20× magnification · 12 tiles from the same stomach biopsy slide · 300 × 300 pixels each.
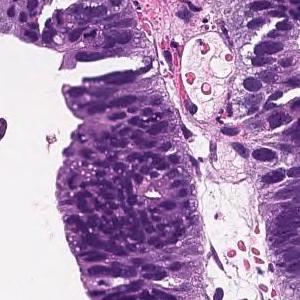
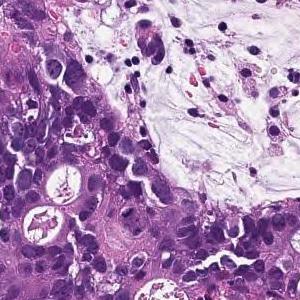
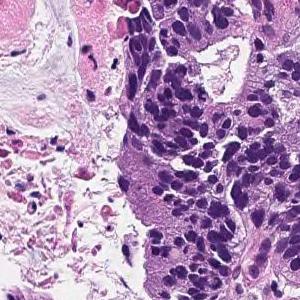
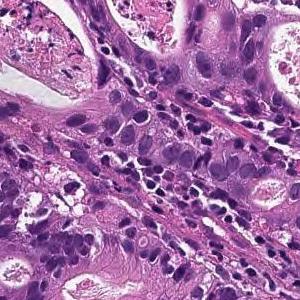
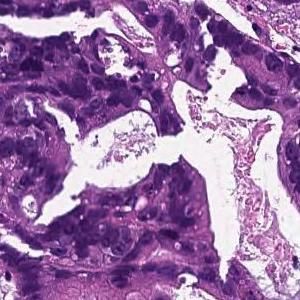
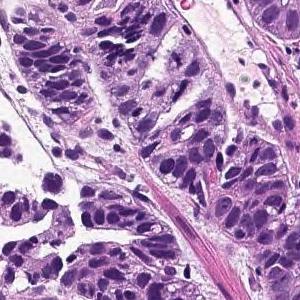
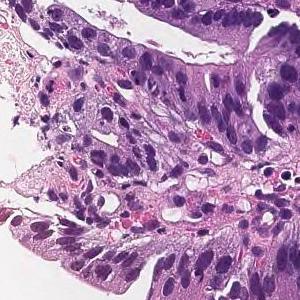
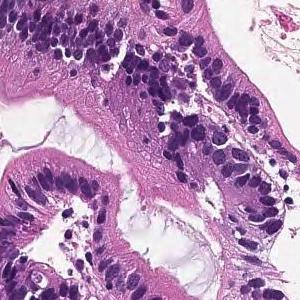
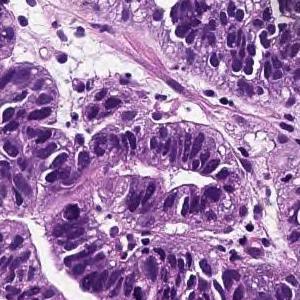
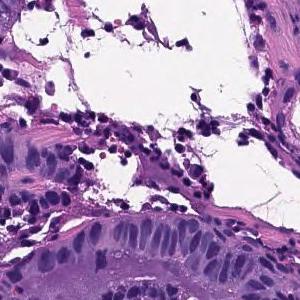
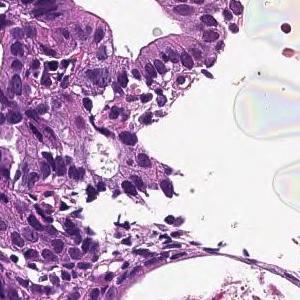
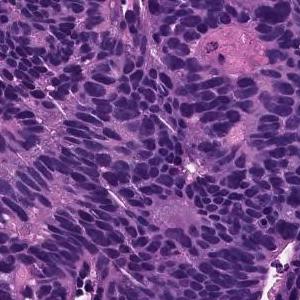
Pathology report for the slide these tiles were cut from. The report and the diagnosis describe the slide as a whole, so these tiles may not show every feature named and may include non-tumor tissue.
In the superficial epithelium, tumor tissue that invades by forming medium-sized to small, irregular ducts is observed. moderately differentiated tubular adenocarcinoma.
